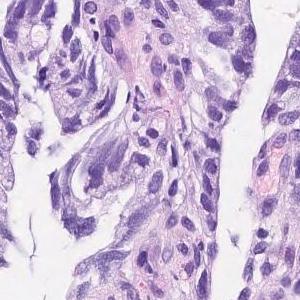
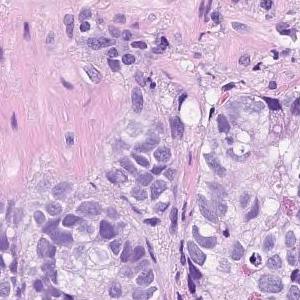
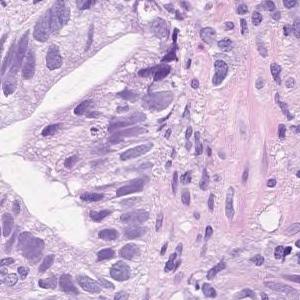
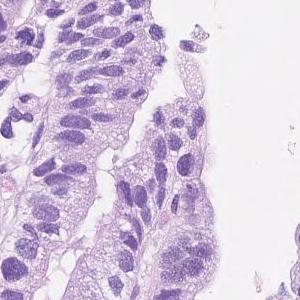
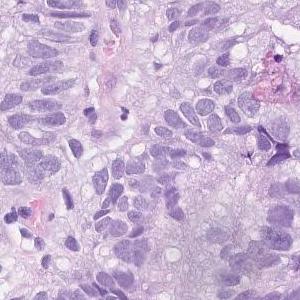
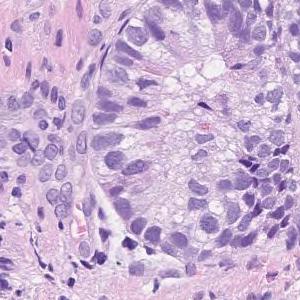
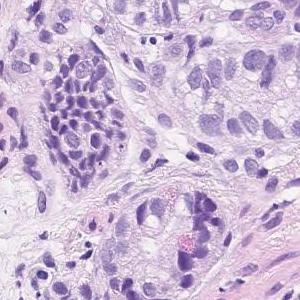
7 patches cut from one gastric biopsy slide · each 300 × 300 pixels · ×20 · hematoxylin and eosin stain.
Pathology report for the slide these tiles were cut from. The findings and the diagnosis refer to the entire slide; these tiles show only part of it, possibly with non-tumor tissue, and may not show every feature named.
Atypical l cells with atypical nuclei forming solid or diffuse vesicles or small irregular atypical ducts and growing in a complex manner. moderately differentiated tubular adenocarcinoma
